×20; 7 patches cut from one gastric biopsy slide.
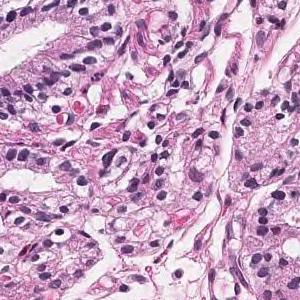
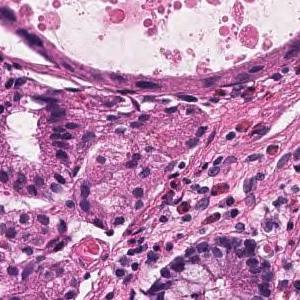
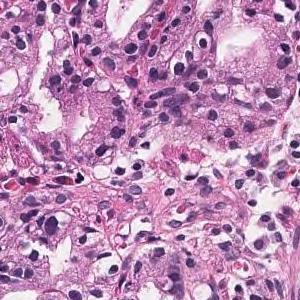
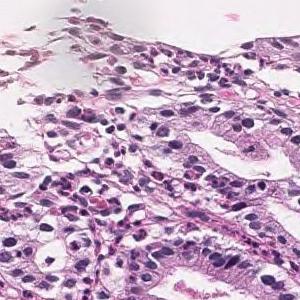
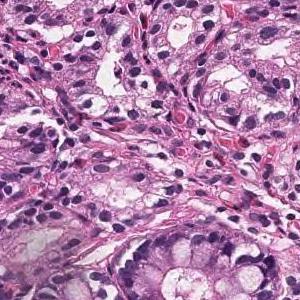
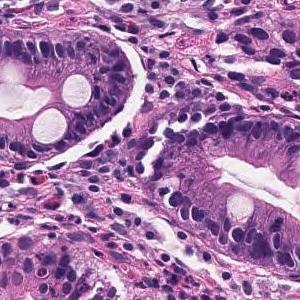
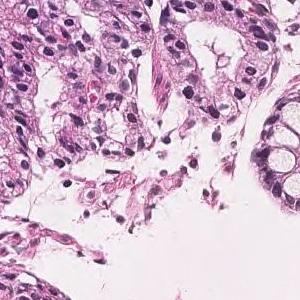
Diagnostic report for the slide these tiles come from. The report and the diagnosis describe the slide as a whole, so these tiles may not show every feature named and may include non-tumor tissue.
On the superficial epithelium, tumor tissue consisting of large, irregular glandular ducts partially fused and infiltrated is observed. Well differentiated tubular adenocarcinoma
